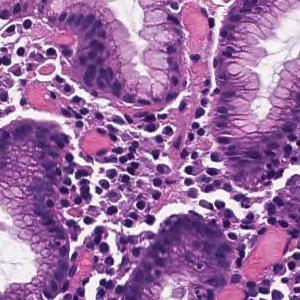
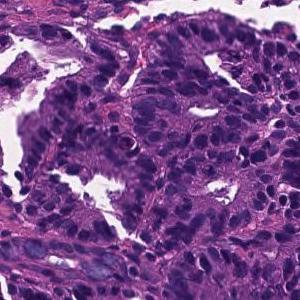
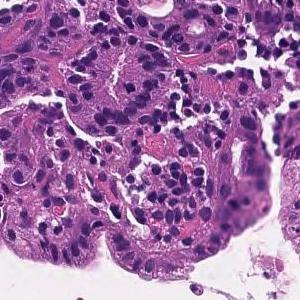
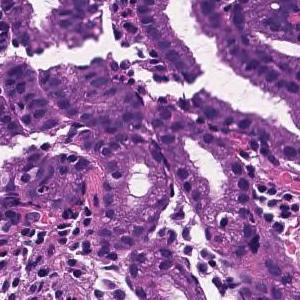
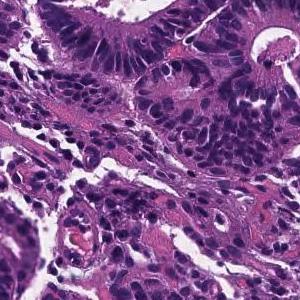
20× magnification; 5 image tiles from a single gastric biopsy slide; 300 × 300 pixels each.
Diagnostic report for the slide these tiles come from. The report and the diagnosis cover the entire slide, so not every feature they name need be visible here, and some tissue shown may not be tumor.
From the superficial epithelium to the muscularis mucosae, tumor tissue consisting of medium-sized and irregular glandular ducts infiltrating is observed. Well differentiated tubular adenocarcinoma
